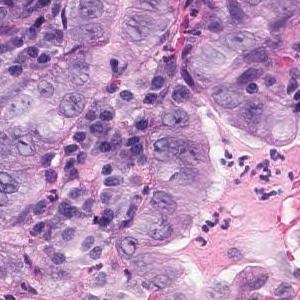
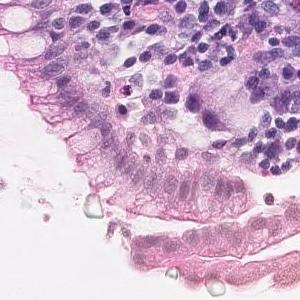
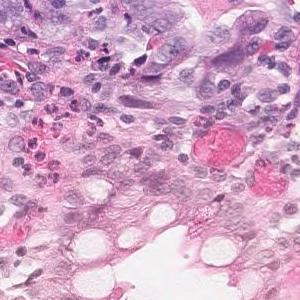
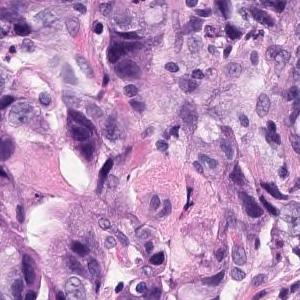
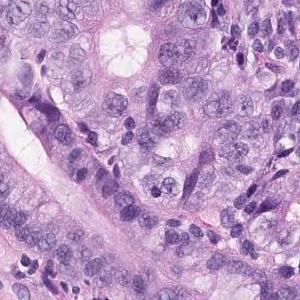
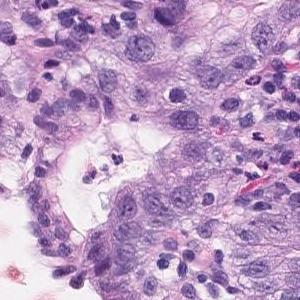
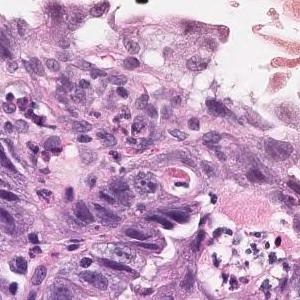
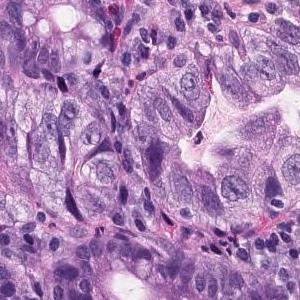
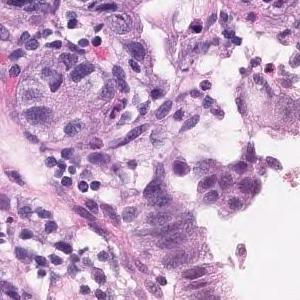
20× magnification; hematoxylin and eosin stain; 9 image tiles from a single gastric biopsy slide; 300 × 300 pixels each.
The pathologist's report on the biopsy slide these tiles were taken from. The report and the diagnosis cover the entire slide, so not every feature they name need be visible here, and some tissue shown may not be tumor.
In the superficial epithelium, tumor tissue that invades by forming medium-sized to small irregular glandular ducts is observed. Moderately differentiated adenocarcinoma.
Classified as moderately differentiated tubular adenocarcinoma.
